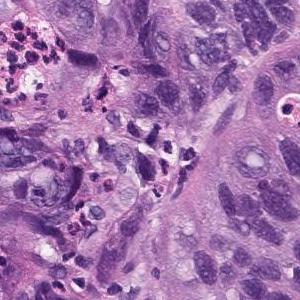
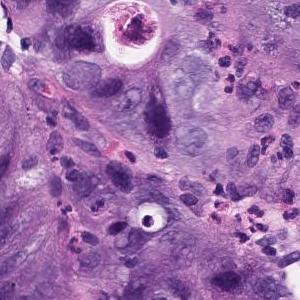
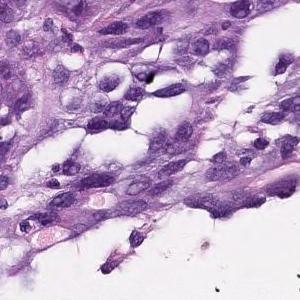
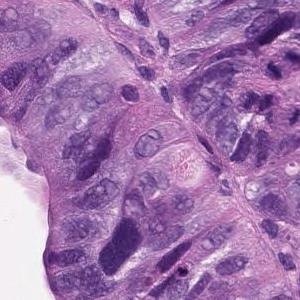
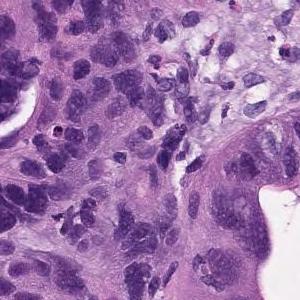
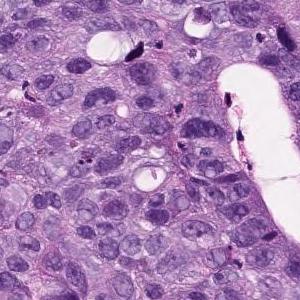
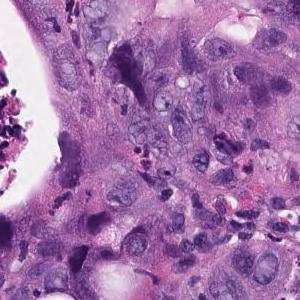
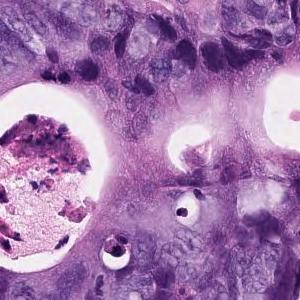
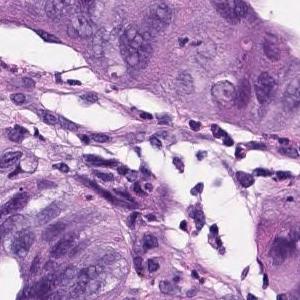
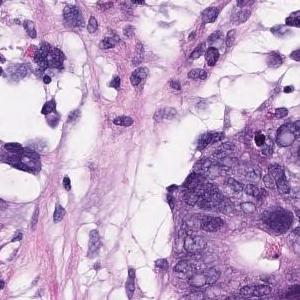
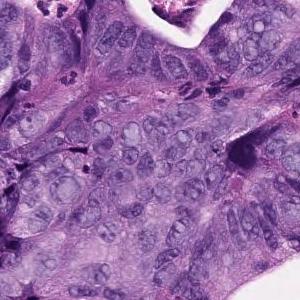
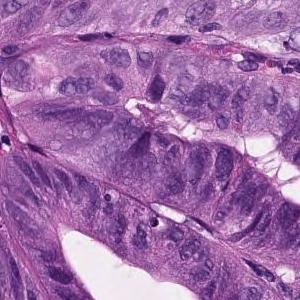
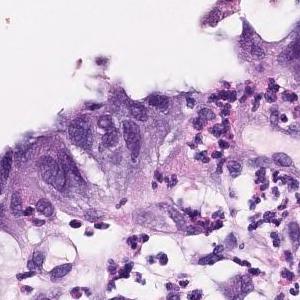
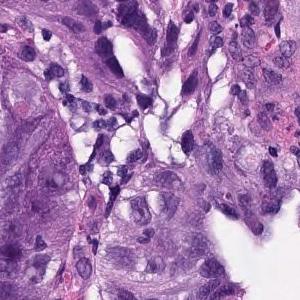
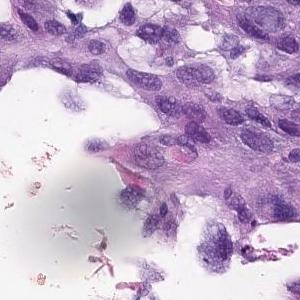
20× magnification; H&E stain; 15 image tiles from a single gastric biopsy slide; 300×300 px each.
Report on the slide these tiles come from. The report and the diagnosis cover the entire slide, so not every feature they name need be visible here, and some tissue shown may not be tumor.
In the superficial epithelium, tumor tissue that invades by forming medium-sized to small, irregular ducts is observed. Moderately differentiated adenocarcinoma.
Classified as moderately differentiated tubular adenocarcinoma.
